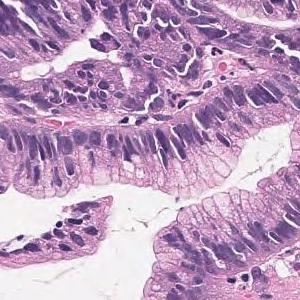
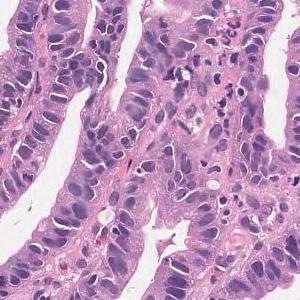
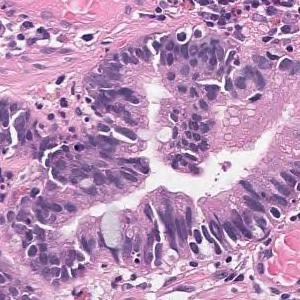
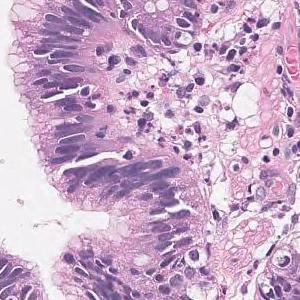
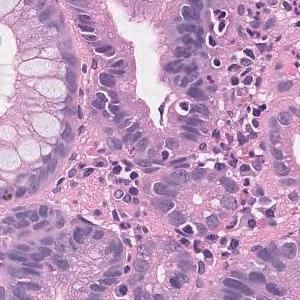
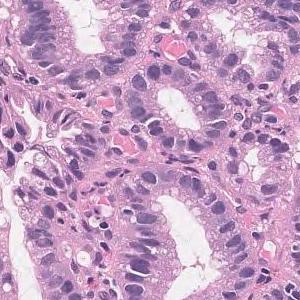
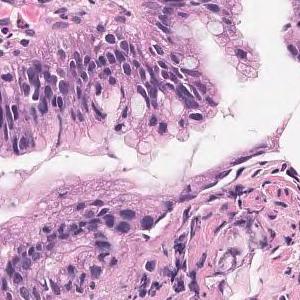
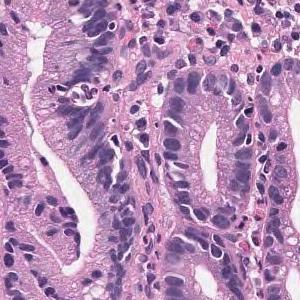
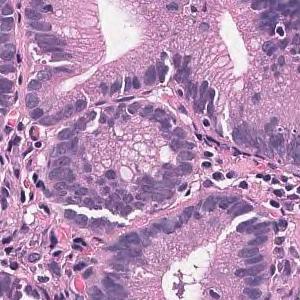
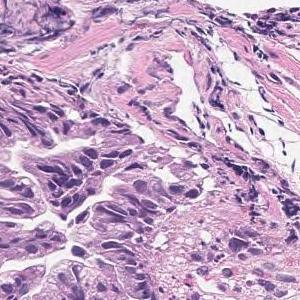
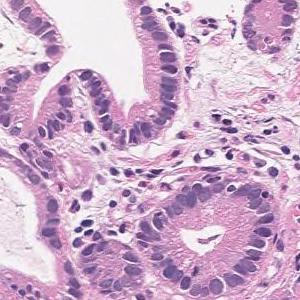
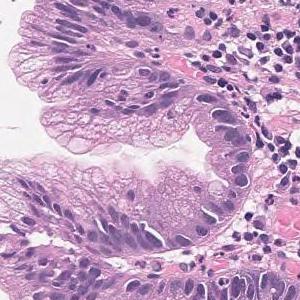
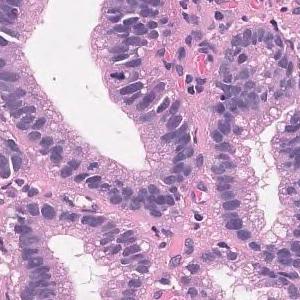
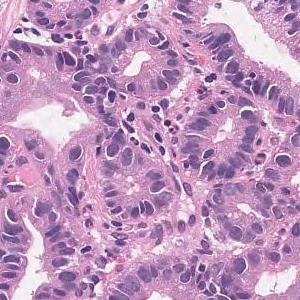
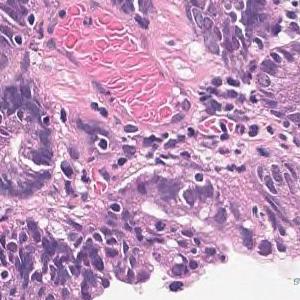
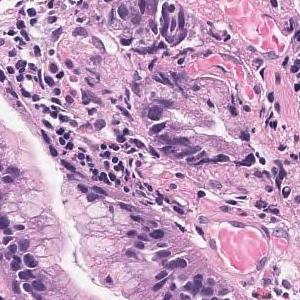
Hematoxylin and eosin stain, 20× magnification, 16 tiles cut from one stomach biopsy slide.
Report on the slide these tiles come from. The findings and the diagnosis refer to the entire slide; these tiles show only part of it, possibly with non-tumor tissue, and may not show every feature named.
Tumor tissue that grows tubular from the surface to the glandular fossa is seen. Adenocarcinoma.
Classified as well differentiated tubular adenocarcinoma.
